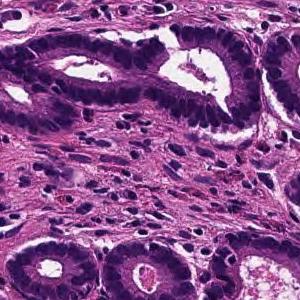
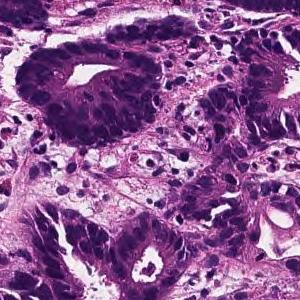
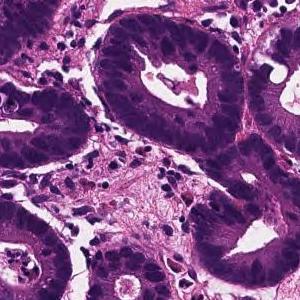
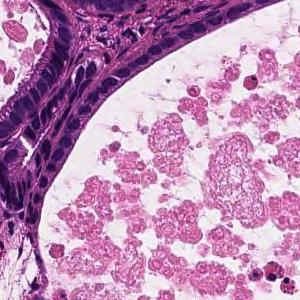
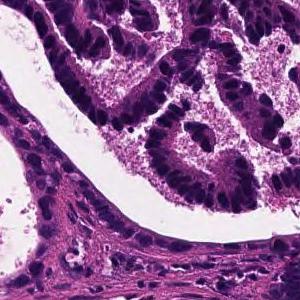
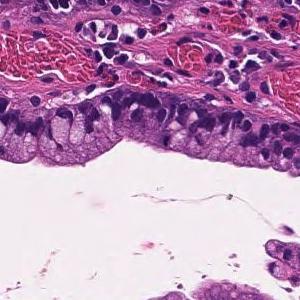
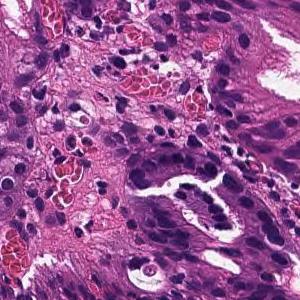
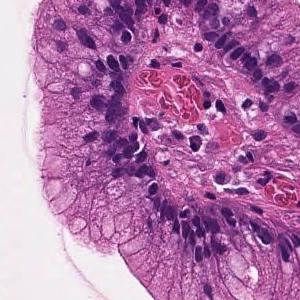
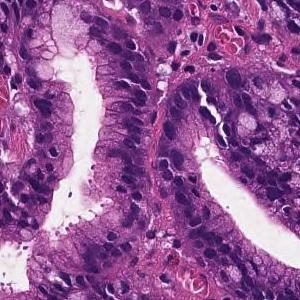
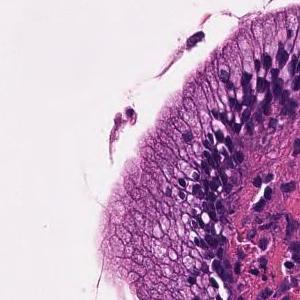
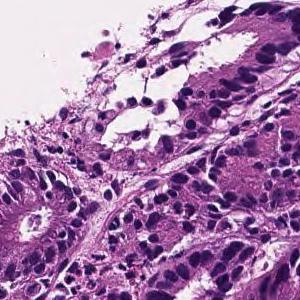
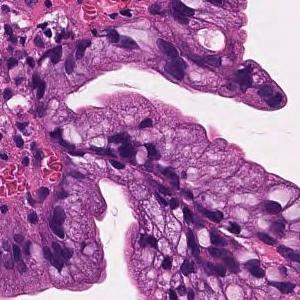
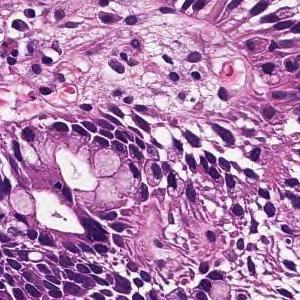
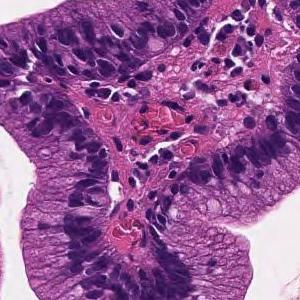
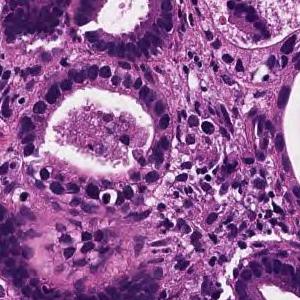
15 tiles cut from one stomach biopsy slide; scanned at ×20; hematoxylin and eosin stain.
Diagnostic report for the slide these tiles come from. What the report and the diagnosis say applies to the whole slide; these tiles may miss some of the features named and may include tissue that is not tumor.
On the superficial epithelium, tumor tissue consisting of medium-sized and irregular glandular ducts partially fused and infiltrated is observed. Well to moderately differentiated tubular adenocarcinoma (well differentiated tubular adenocarcinoma-moderately differentiated tubular adenocarcinoma)
Histologic type: Well to moderately differentiated tubular adenocarcinoma.
